4 tiles from the same stomach biopsy slide; hematoxylin and eosin stain.
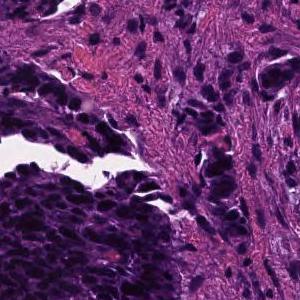
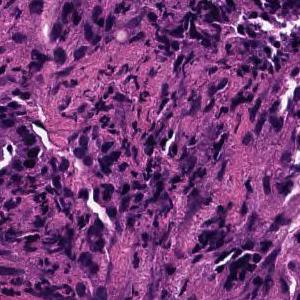
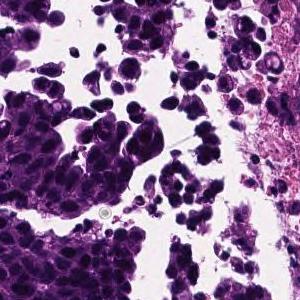
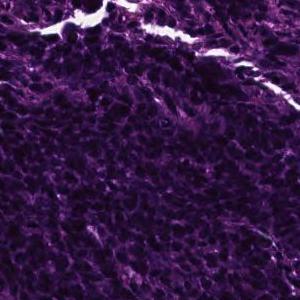
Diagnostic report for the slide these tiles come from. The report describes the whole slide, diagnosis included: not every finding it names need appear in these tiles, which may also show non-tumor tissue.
In the superficial epithelium, tumor tissue that invades by forming medium-sized to small, irregular ducts is observed. moderately differentiated tubular adenocarcinoma.
